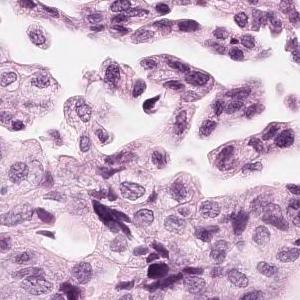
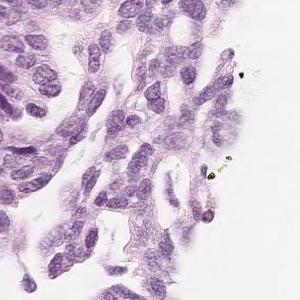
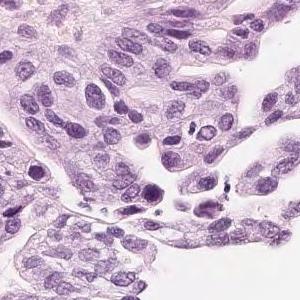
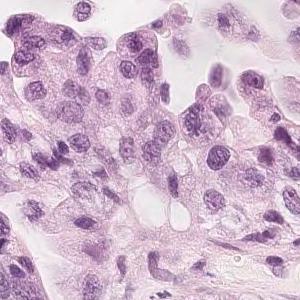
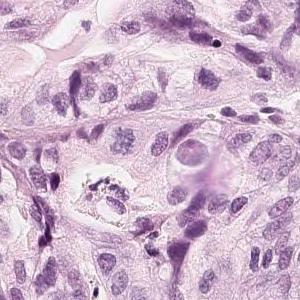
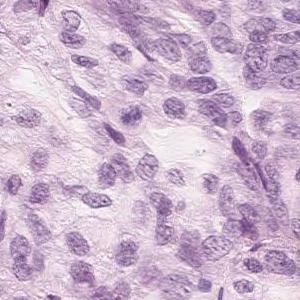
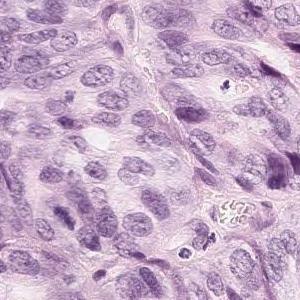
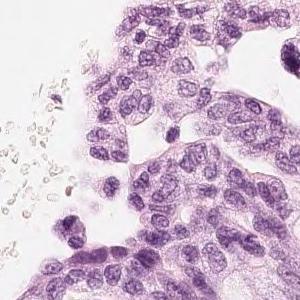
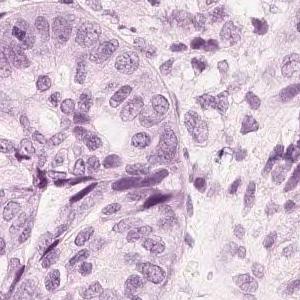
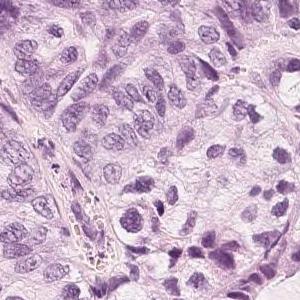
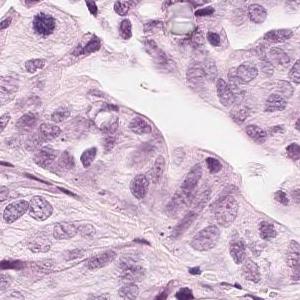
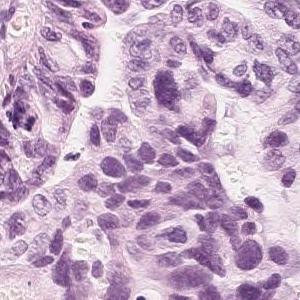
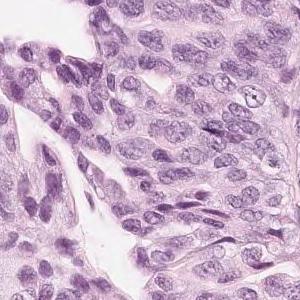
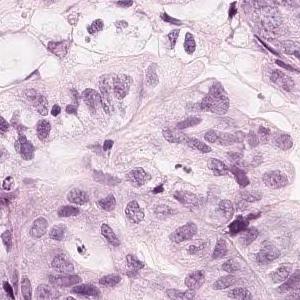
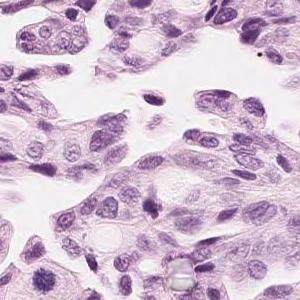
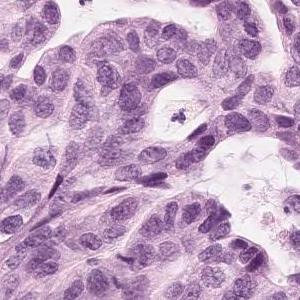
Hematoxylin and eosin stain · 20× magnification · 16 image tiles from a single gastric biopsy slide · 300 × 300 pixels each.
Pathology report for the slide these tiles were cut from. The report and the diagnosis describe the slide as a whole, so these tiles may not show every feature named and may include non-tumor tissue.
Tumor tissue in which medium-sized atypical epithelial cells with a large N/C ratio grow densely while becoming alveolar to cord-like with duct formation is observed. moderately differentiated tubular adenocarcinoma
